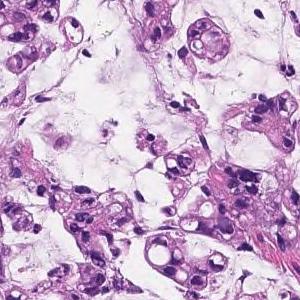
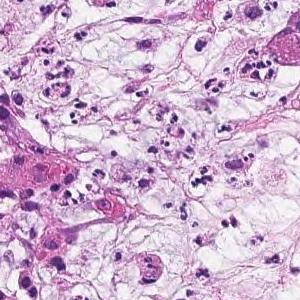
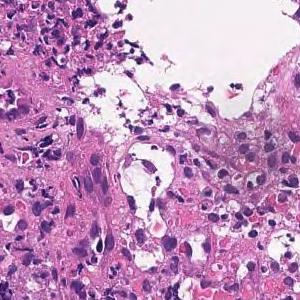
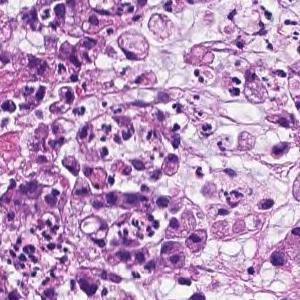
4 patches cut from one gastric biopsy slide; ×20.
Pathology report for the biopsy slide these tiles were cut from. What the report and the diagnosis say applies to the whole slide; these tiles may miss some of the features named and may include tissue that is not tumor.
Tumor tissue consisting of cord-like or small, irregular glandular ducts fused and infiltrated is observed in the superficial epithelium. Poorly differentiated adenocarcinoma, non-solid type
The term "non-solid type" comes from the Japanese Classification of Gastric Carcinoma.
